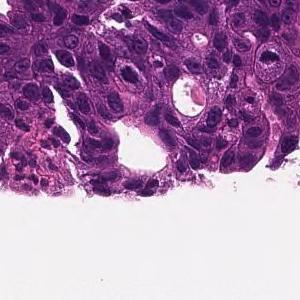
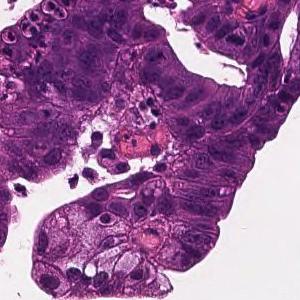
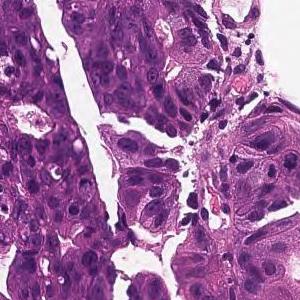
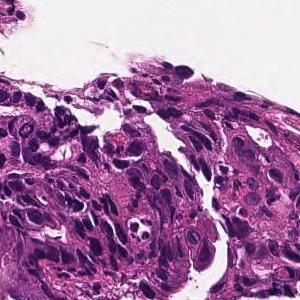
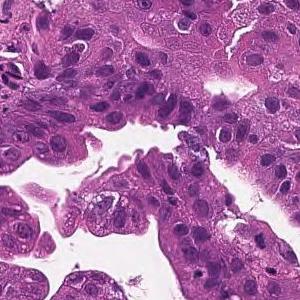
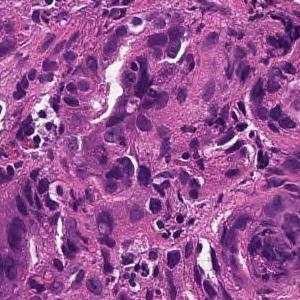
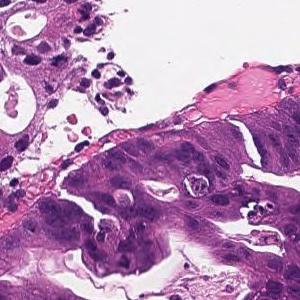
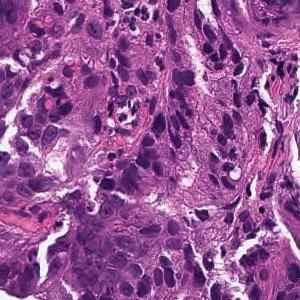
8 tiles from the same stomach biopsy slide, 300 × 300 pixels each.
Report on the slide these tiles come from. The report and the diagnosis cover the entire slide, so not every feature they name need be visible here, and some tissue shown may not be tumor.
On the superficial epithelium, tumor tissue is found in which medium-sized irregular gland ducts fuse with each other and infiltrate. moderately differentiated tubular adenocarcinoma
